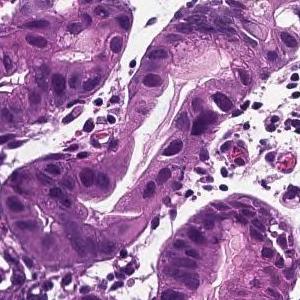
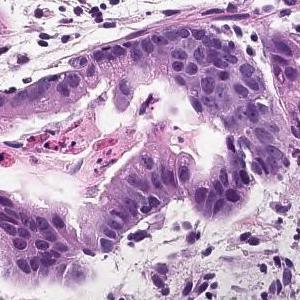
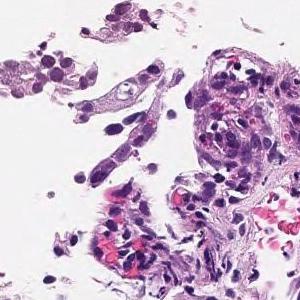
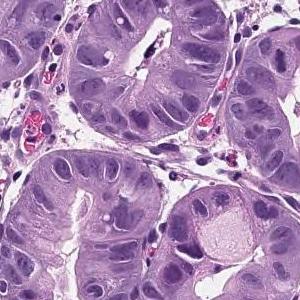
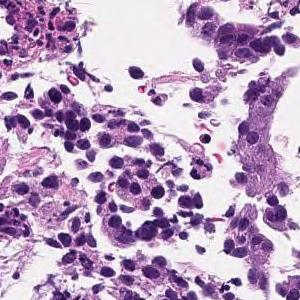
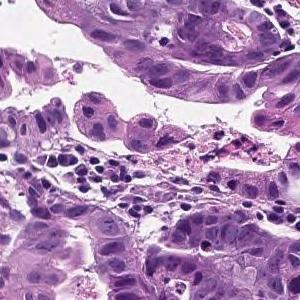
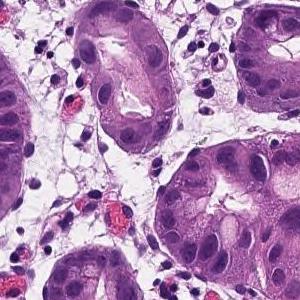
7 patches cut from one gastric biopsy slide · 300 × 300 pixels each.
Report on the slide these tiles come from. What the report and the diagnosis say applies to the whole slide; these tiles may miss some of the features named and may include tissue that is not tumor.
On the superficial epithelium, tumor tissue that infiltrates by forming medium-sized papillary or small irregular ducts is observed. Papillary adenocarcinoma
